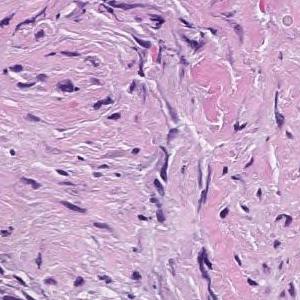
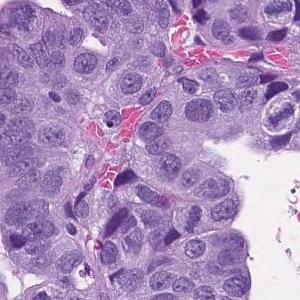
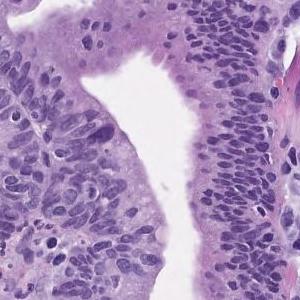
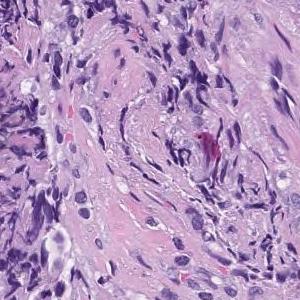
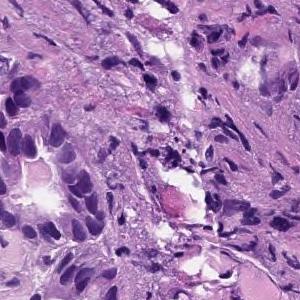
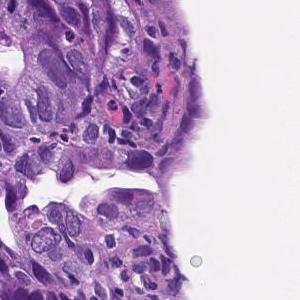
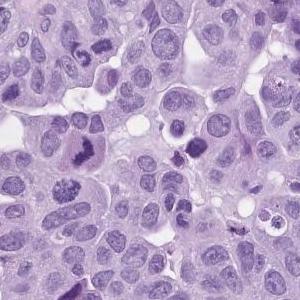
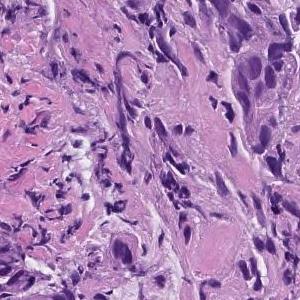
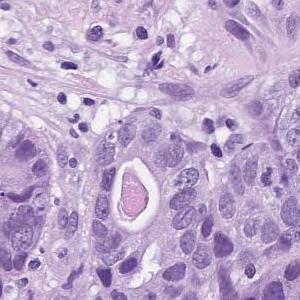
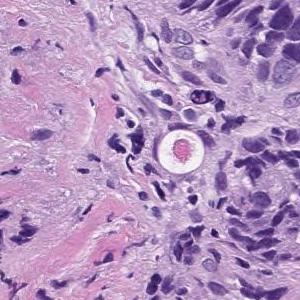
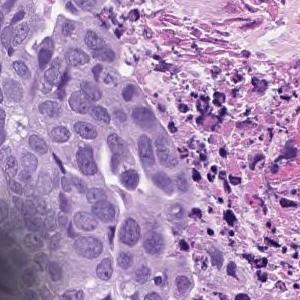
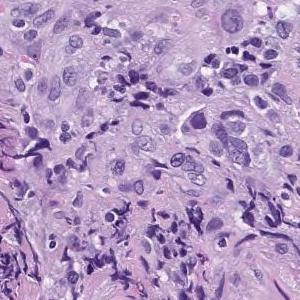
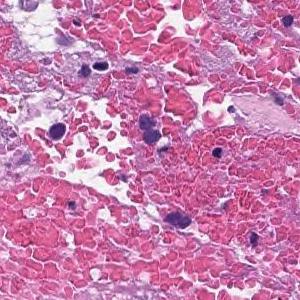
13 patches cut from one gastric biopsy slide; 300×300 px each; H&E stain.
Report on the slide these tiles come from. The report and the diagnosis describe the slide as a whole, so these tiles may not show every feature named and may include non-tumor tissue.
In the superficial epithelium, tumor tissue that invades by forming medium-sized to small, irregular ducts is observed. moderately differentiated tubular adenocarcinoma.
